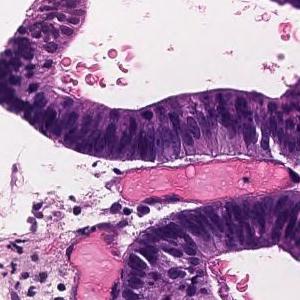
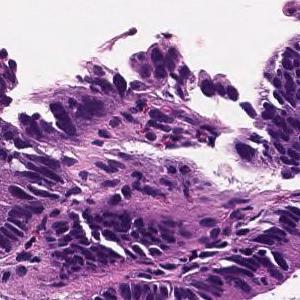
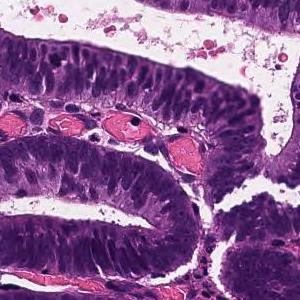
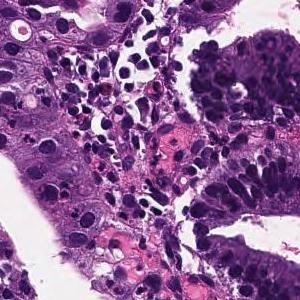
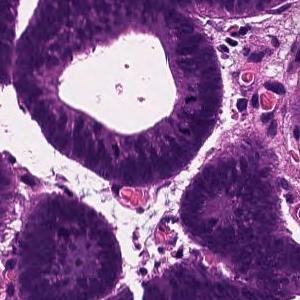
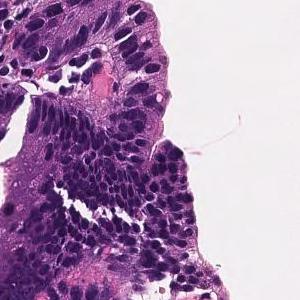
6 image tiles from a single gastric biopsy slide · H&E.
The pathologist's report on the biopsy slide these tiles were taken from. What the report and the diagnosis say applies to the whole slide; these tiles may miss some of the features named and may include tissue that is not tumor.
Tumor tissue consisting of large papillary structures is found in the superficial epithelium. Papillary adenocarcinoma.
